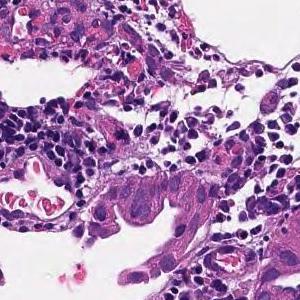
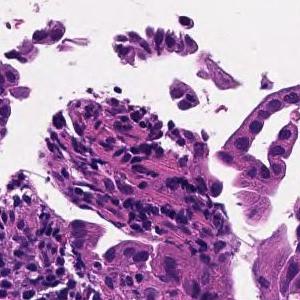
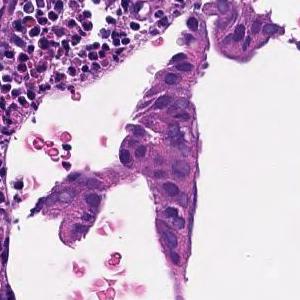
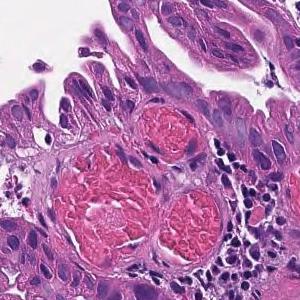
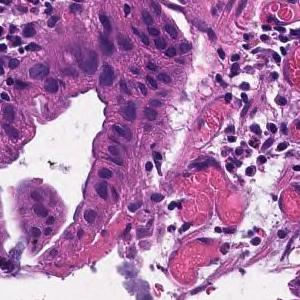
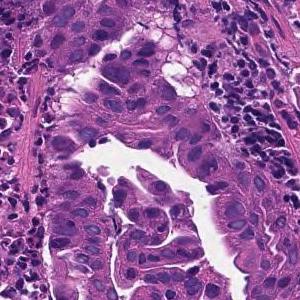
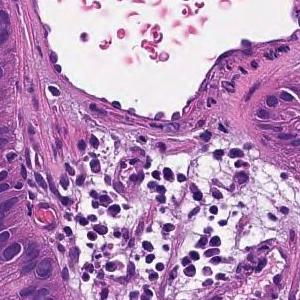
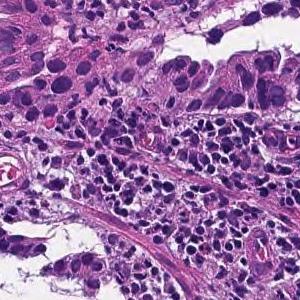
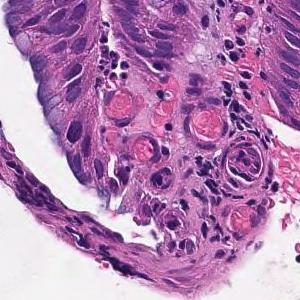
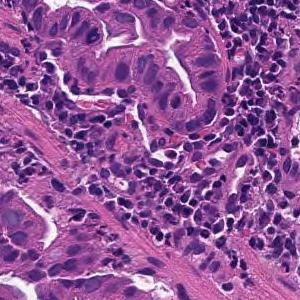
10 tiles cut from one stomach biopsy slide, each 300 × 300 pixels, hematoxylin and eosin stain.
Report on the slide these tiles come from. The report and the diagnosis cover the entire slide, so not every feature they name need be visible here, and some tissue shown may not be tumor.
On the superficial epithelium, tumor tissue that infiltrates by forming medium-sized papillary or small irregular ducts is observed. Papillary adenocarcinoma
